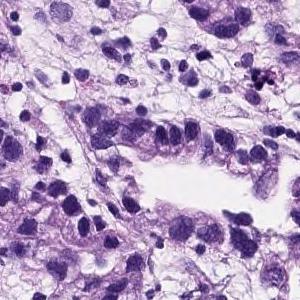
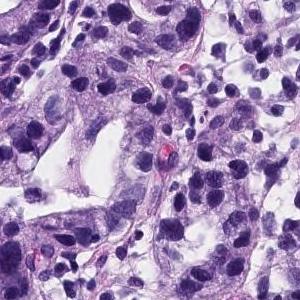
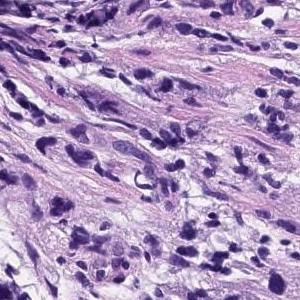
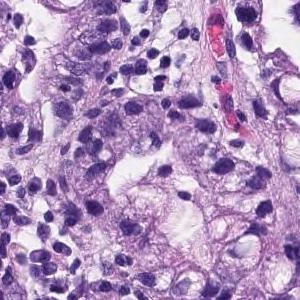
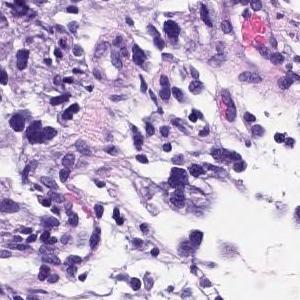
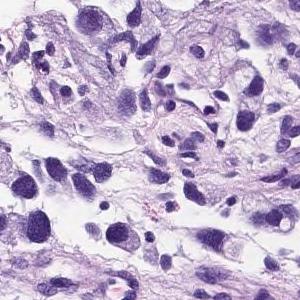
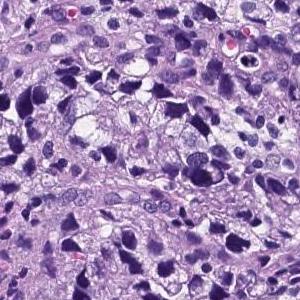
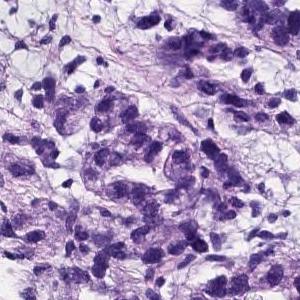
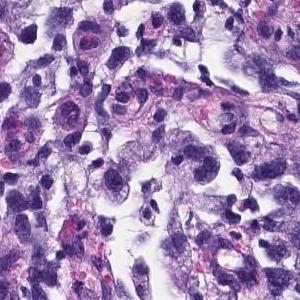
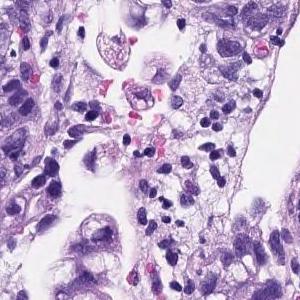
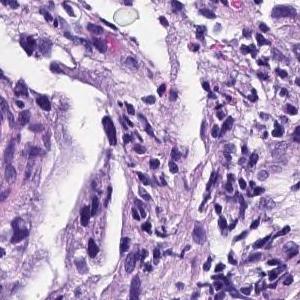
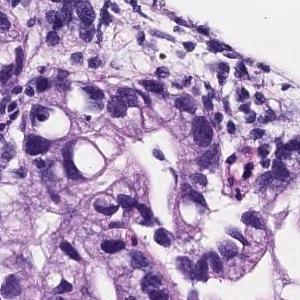
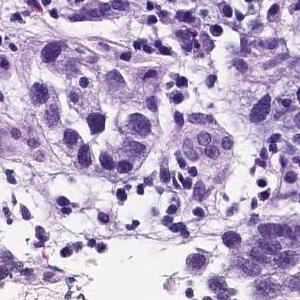
Hematoxylin and eosin stain, ×20, 13 tiles cut from one stomach biopsy slide, 300×300 px each.
The pathologist's report on the biopsy slide these tiles were taken from. The report describes the whole slide, diagnosis included: not every finding it names need appear in these tiles, which may also show non-tumor tissue.
Medium to small, irregular glandular ducts are formed in the superficial epithelium, and in some cases, the glandular ducts are fused to show solid alveolar lesions and infiltrating tumor tissue is observed. Poorly differentiated adenocarcinoma, Moderately differentiated adenocarcinoma.
Labeled in the dataset as moderately differentiated tubular adenocarcinoma.
